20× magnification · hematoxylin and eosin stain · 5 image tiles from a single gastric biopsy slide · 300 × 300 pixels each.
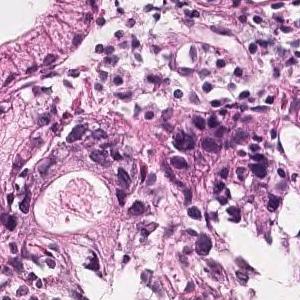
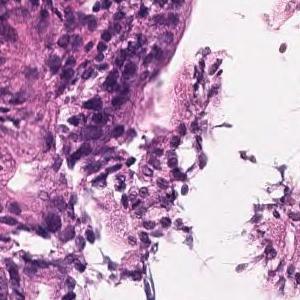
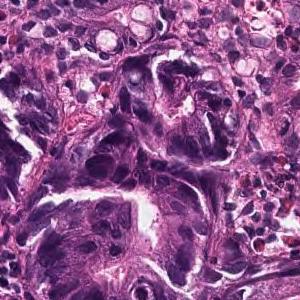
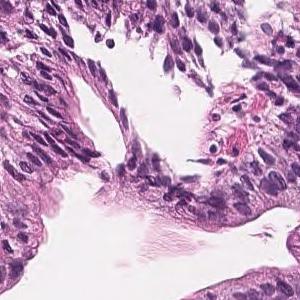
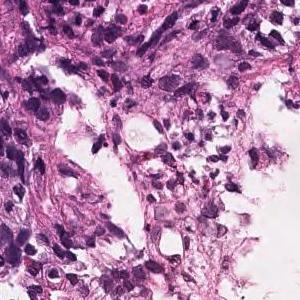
Pathology report for the biopsy slide these tiles were cut from. The report describes the whole slide, diagnosis included: not every finding it names need appear in these tiles, which may also show non-tumor tissue.
On the superficial epithelium, tumor tissue consisting of large, irregular glandular ducts partially fused and infiltrated is observed. Well to moderately differentiated tubular adenocarcinoma (well differentiated tubular adenocarcinoma, moderately differentiated tubular adenocarcinoma)
Tumor subtype: well to moderately differentiated tubular adenocarcinoma.
